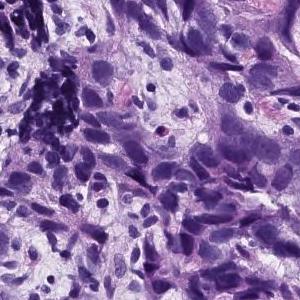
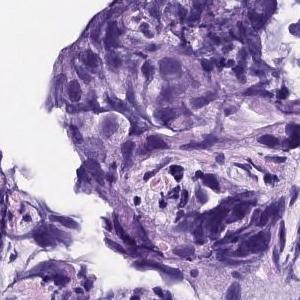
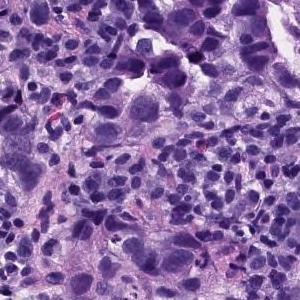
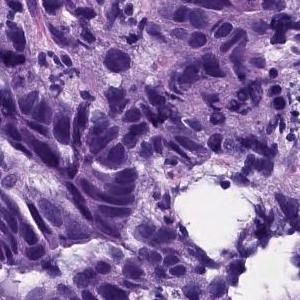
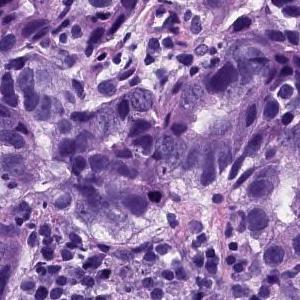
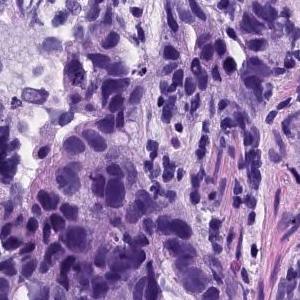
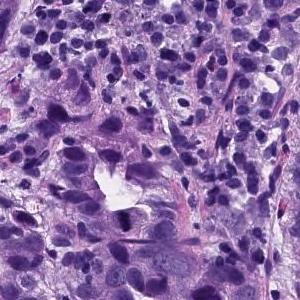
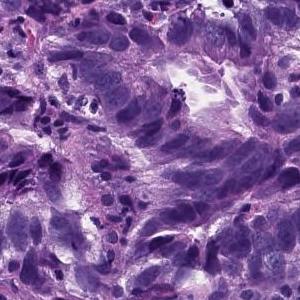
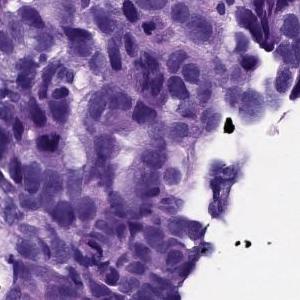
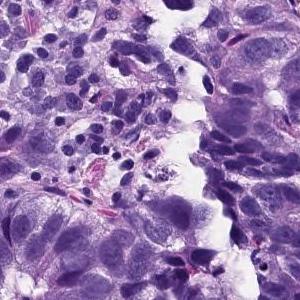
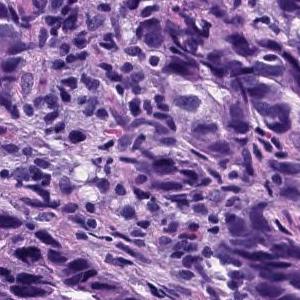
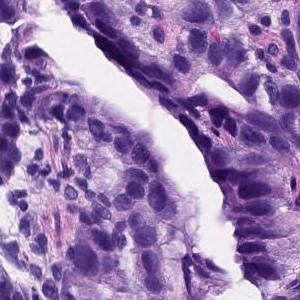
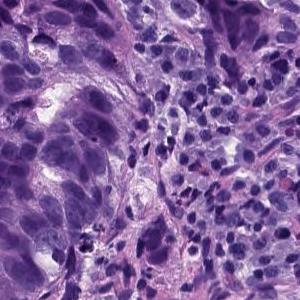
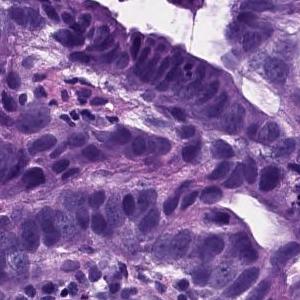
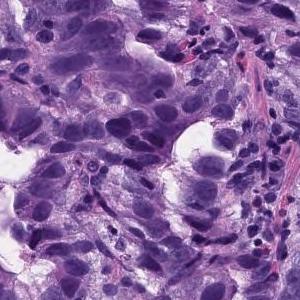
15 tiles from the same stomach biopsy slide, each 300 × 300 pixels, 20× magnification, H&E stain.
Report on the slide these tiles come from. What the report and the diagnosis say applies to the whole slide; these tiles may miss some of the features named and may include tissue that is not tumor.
In the superficial epithelium, tumor tissue that invades by forming medium-sized to small, irregular ducts is observed. Moderately differentiated adenocarcinoma.
Histological subtype: Moderately differentiated tubular adenocarcinoma.
